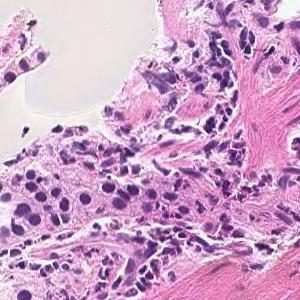
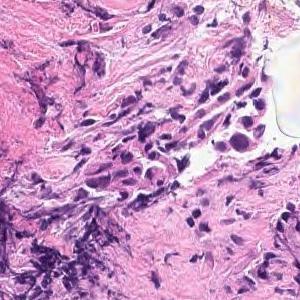
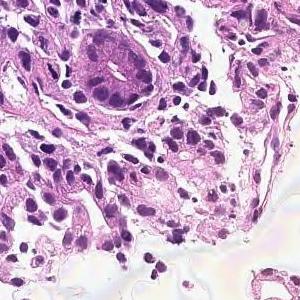
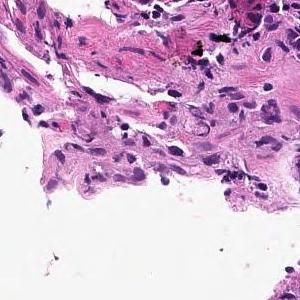
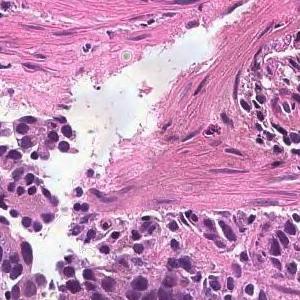
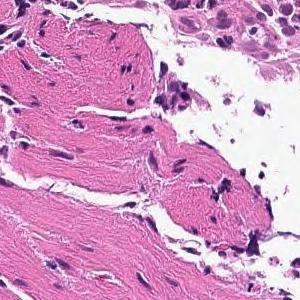
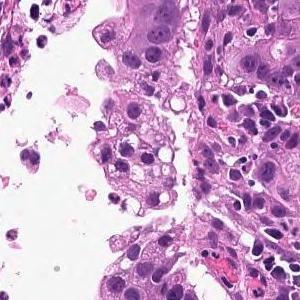
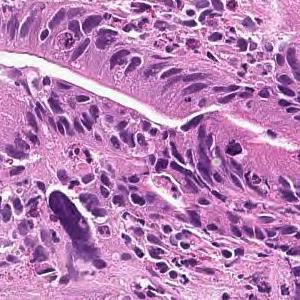
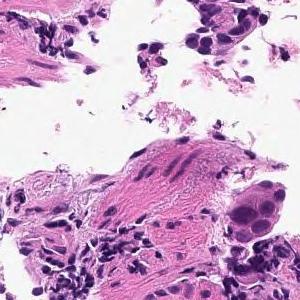
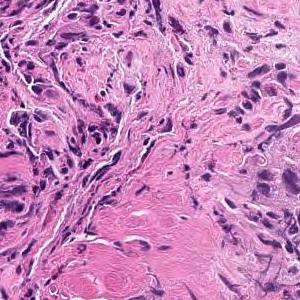
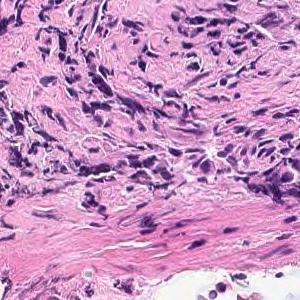
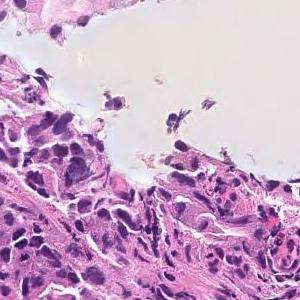
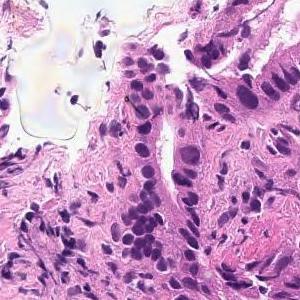
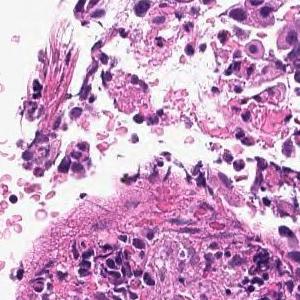
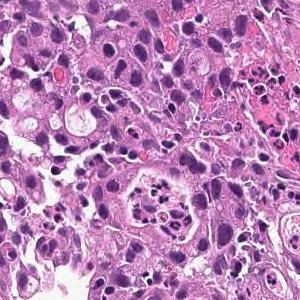
15 tiles cut from one stomach biopsy slide · 300×300 px each · hematoxylin and eosin stain · ×20.
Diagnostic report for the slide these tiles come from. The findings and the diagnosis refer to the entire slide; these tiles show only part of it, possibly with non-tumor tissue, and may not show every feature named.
On the superficial epithelium, tumor tissue consisting of large irregular glandular ducts partially fused and infiltrated is observed. Well to moderately differentiated tubular adenocarcinoma (well differentiated tubular adenocarcinoma, moderately differentiated tubular adenocarcinoma)
Classified as well to moderately differentiated tubular adenocarcinoma.
